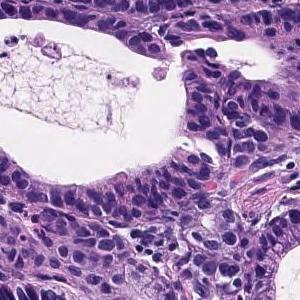
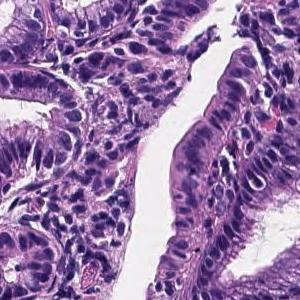
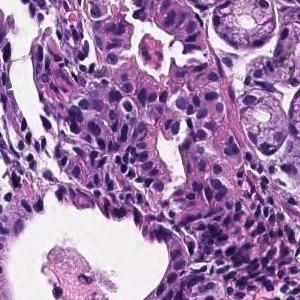
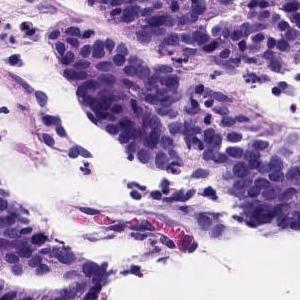
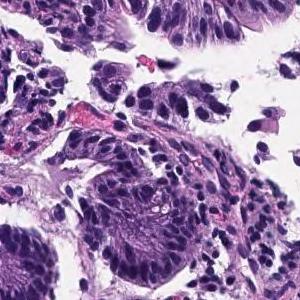
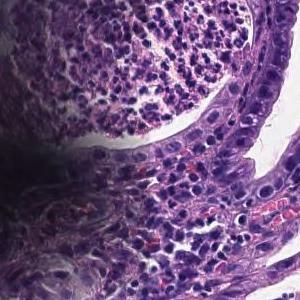
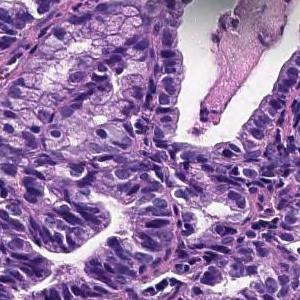
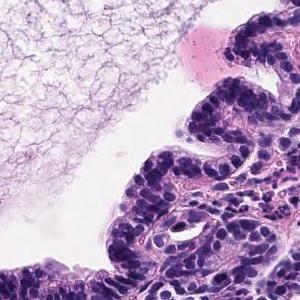
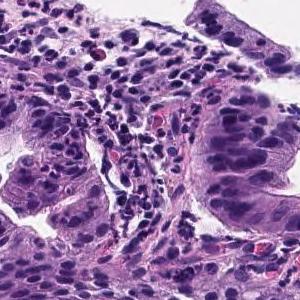
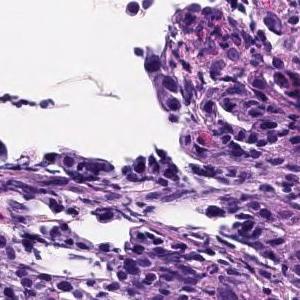
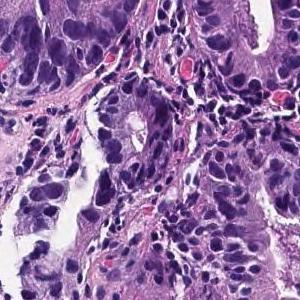
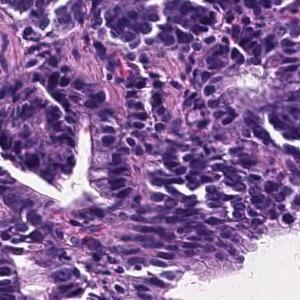
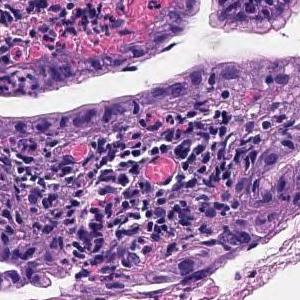
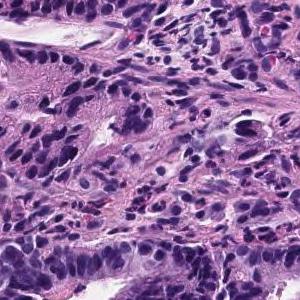
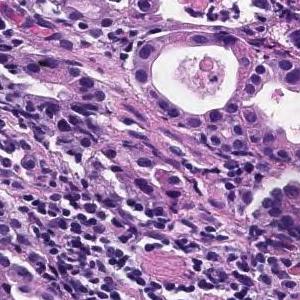
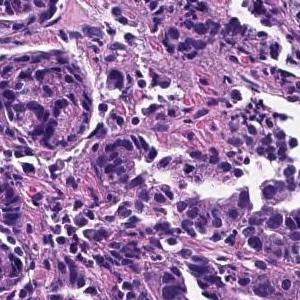
16 image tiles from a single gastric biopsy slide; 300 × 300 pixels each; H&E stain.
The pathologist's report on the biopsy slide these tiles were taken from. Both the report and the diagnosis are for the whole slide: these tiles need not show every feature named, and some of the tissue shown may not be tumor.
The superficial tumors shows large papillary structures or large and small ducts and infiltrates. Papillary adenocarcinoma.
